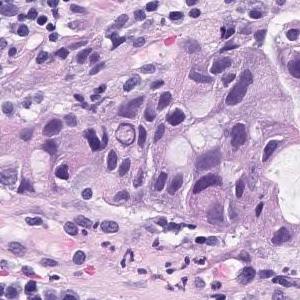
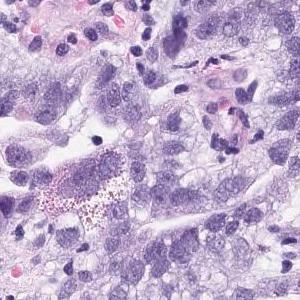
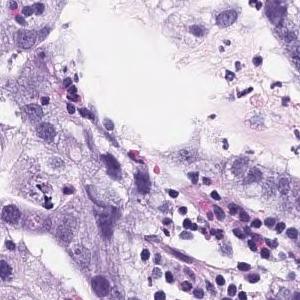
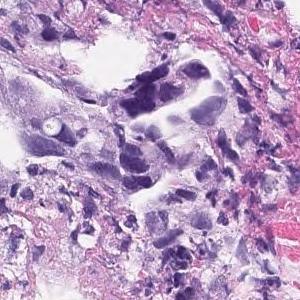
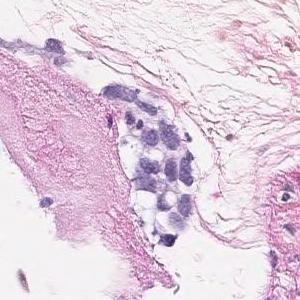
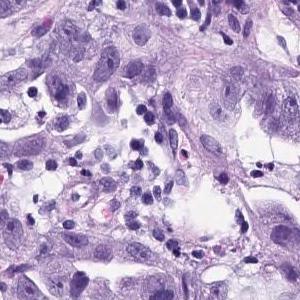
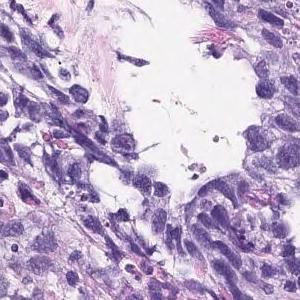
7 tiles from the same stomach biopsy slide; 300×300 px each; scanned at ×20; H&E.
Pathology report for the slide these tiles were cut from. The report and the diagnosis describe the slide as a whole, so these tiles may not show every feature named and may include non-tumor tissue.
In the superficial epithelium, tumor tissue that invades by forming medium-sized to small, irregular ducts is observed. Moderately differentiated adenocarcinoma.
Classified as moderately differentiated tubular adenocarcinoma.
